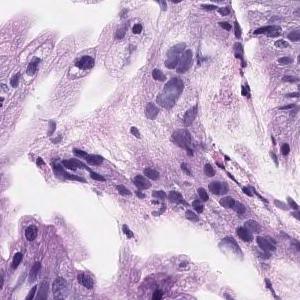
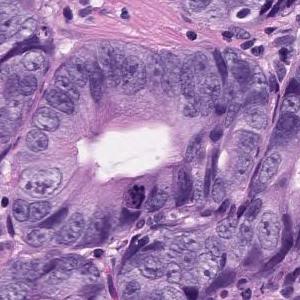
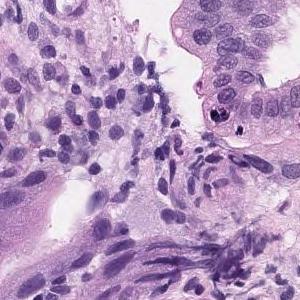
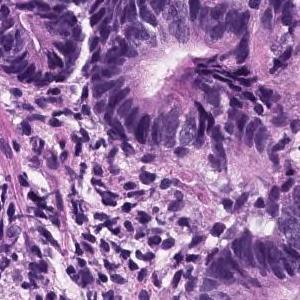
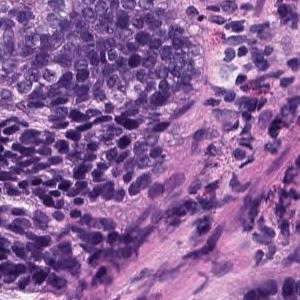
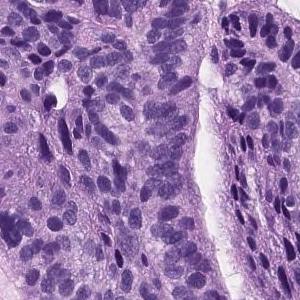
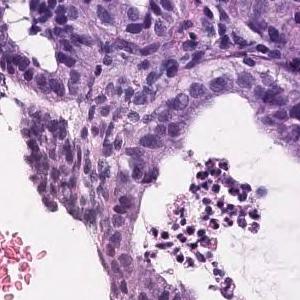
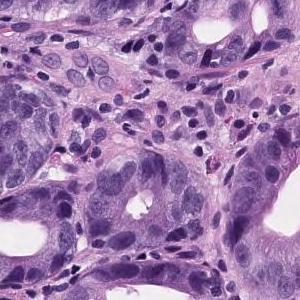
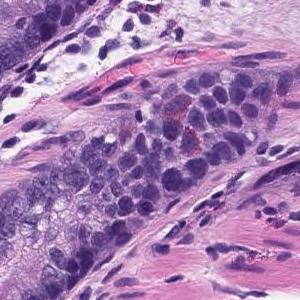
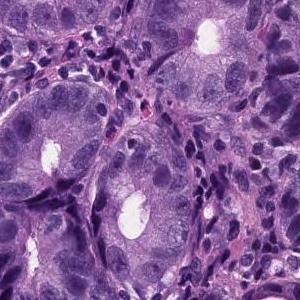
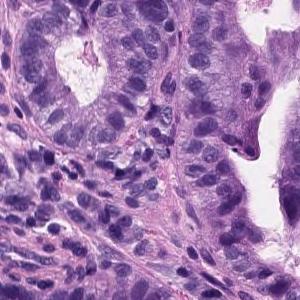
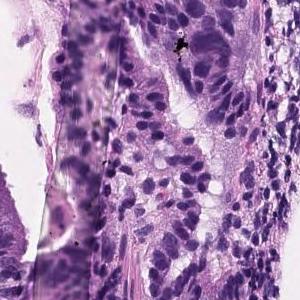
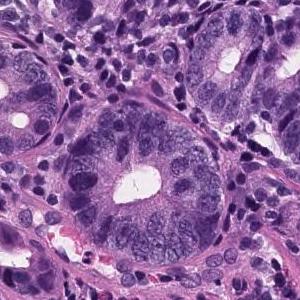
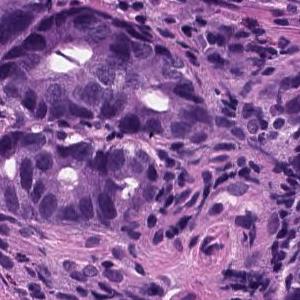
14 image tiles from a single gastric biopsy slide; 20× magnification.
The pathologist's report on the biopsy slide these tiles were taken from. Both the report and the diagnosis are for the whole slide: these tiles need not show every feature named, and some of the tissue shown may not be tumor.
Tumor tissue consisting of medium-sized and irregular ducts is observed infiltrating in the superficial epithelium. Tumor cells are highly columnar, with nuclei aligned basolaterally and polarized. Well differentiated tubular adenocarcinoma.
